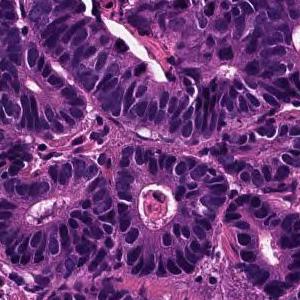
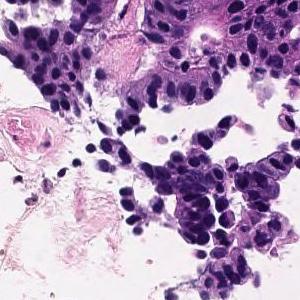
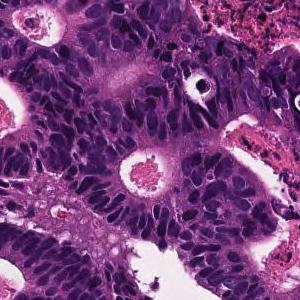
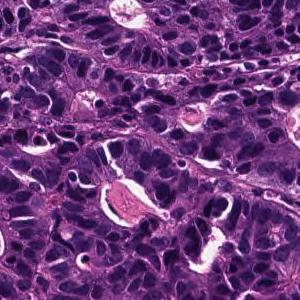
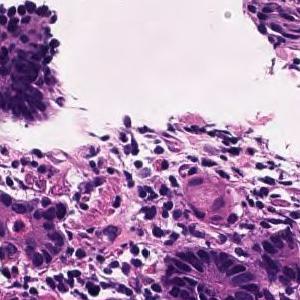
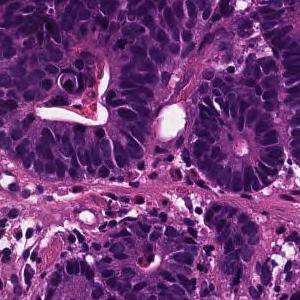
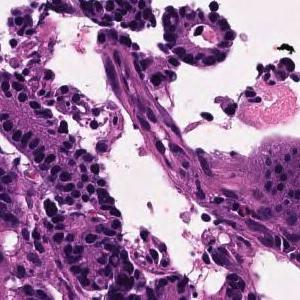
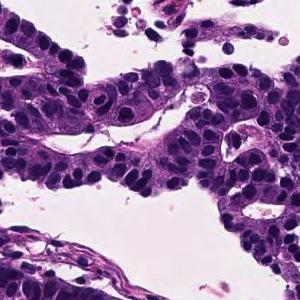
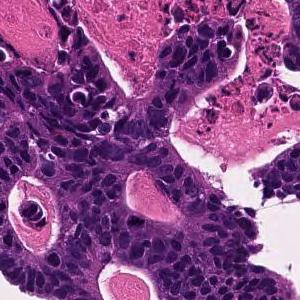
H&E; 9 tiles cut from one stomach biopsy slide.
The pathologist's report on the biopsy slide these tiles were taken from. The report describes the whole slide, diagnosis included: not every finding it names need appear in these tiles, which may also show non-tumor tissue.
In the superficial epithelium, tumor tissue that invades by forming medium-sized to small, irregular ducts is observed. moderately differentiated tubular adenocarcinoma.
